Scanned at ×20; H&E stain; 15 patches cut from one gastric biopsy slide.
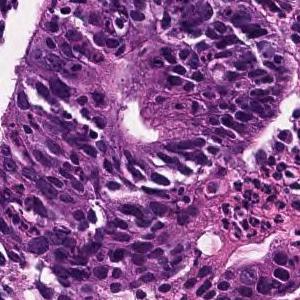
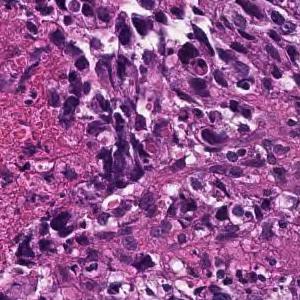
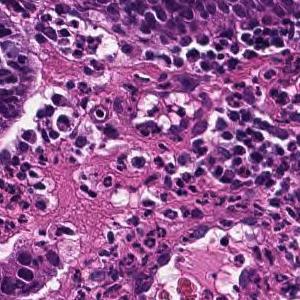
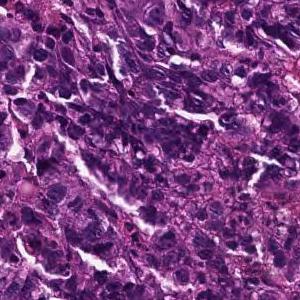
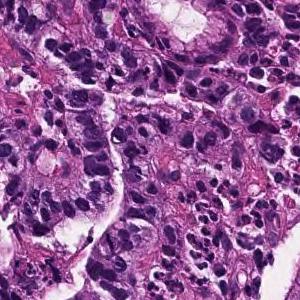
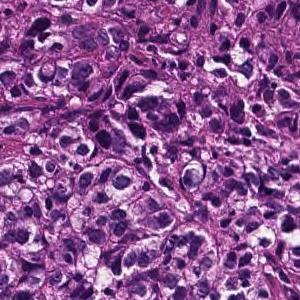
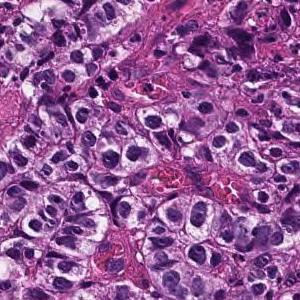
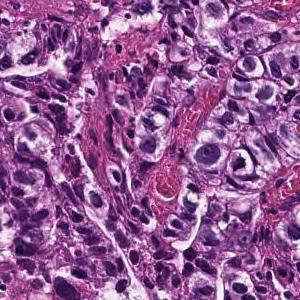
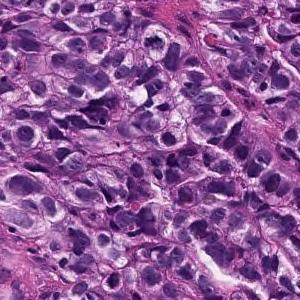
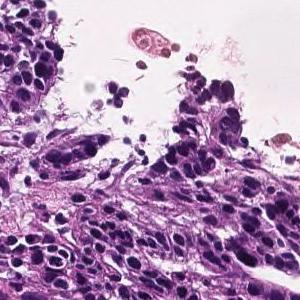
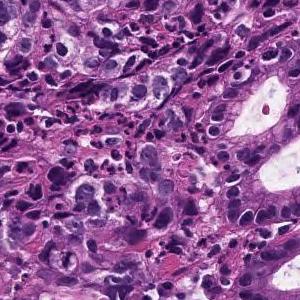
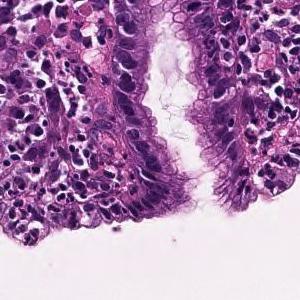
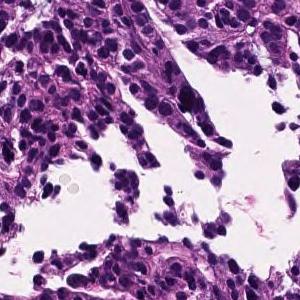
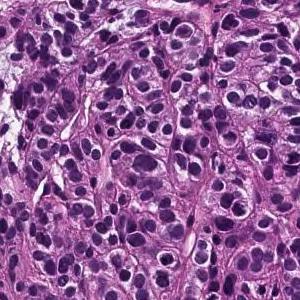
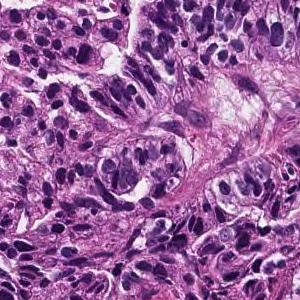
Report on the slide these tiles come from. The report and the diagnosis describe the slide as a whole, so these tiles may not show every feature named and may include non-tumor tissue.
In the superficial epithelium, tumor tissue that invades by forming medium-sized to small, irregular ducts is observed. moderately differentiated tubular adenocarcinoma.
